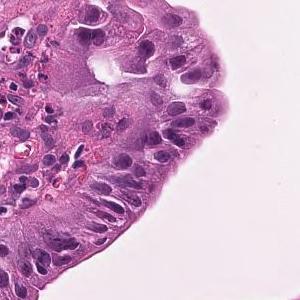
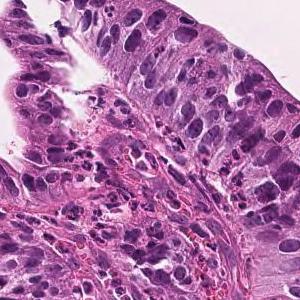
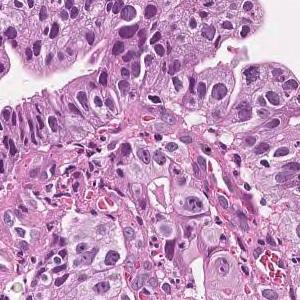
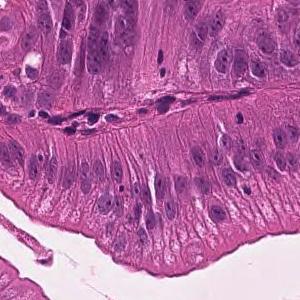
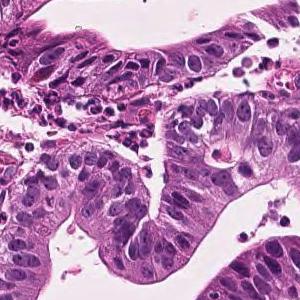
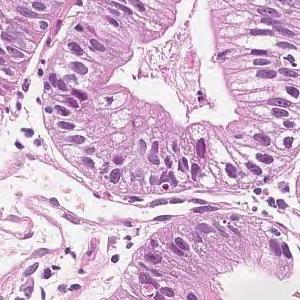
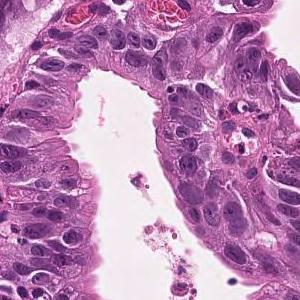
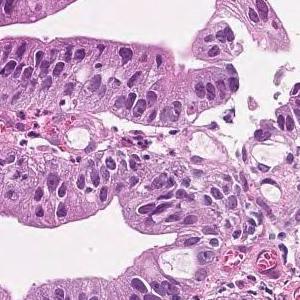
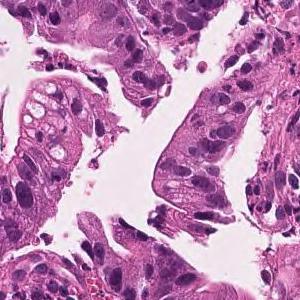
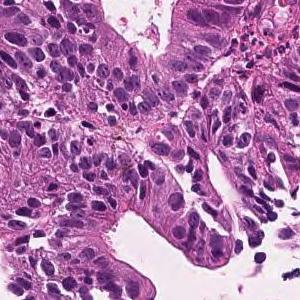
10 image tiles from a single gastric biopsy slide · each 300 × 300 pixels · ×20 · hematoxylin and eosin stain.
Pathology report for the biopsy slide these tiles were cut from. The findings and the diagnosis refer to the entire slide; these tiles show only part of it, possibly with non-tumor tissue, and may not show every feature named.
Tumor cells are large, highly columnar, large club-shaped nuclei, and are associated with chromatin aggregation. Papillary adenocarcinoma.
